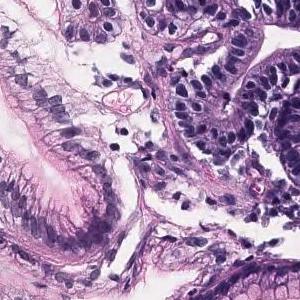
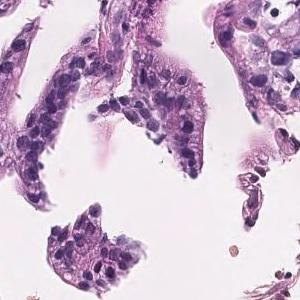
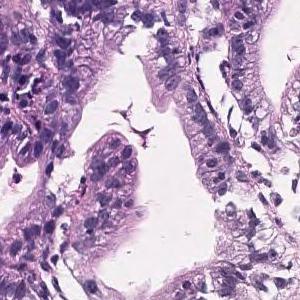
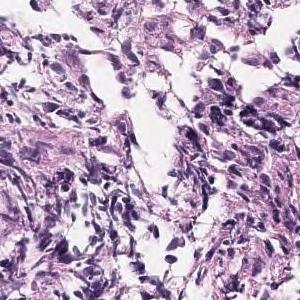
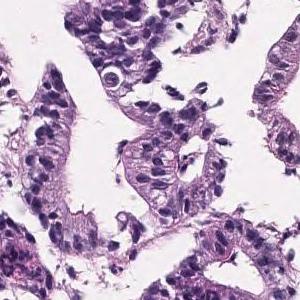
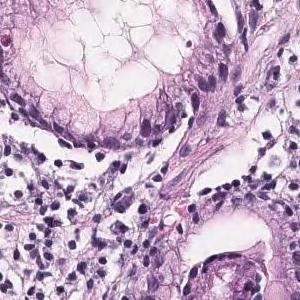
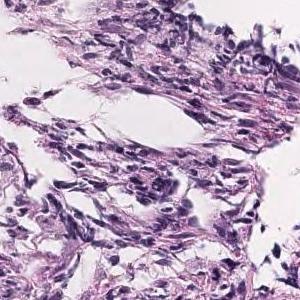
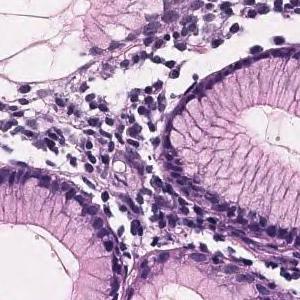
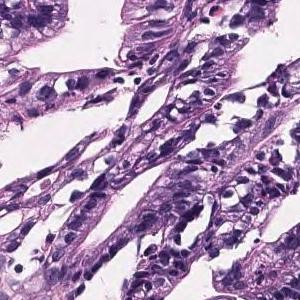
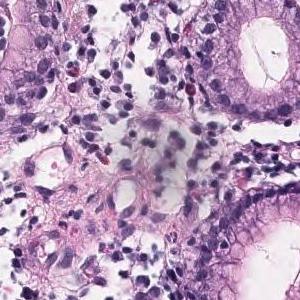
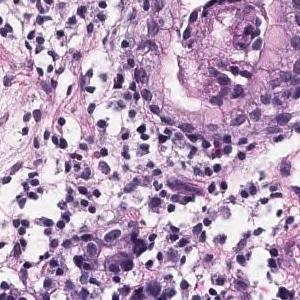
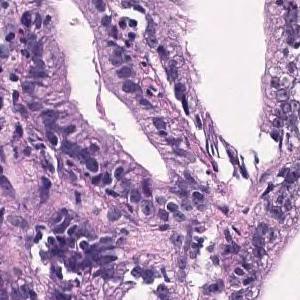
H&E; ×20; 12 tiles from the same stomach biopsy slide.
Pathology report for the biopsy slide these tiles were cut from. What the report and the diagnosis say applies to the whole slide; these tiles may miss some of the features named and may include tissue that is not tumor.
Tumor tissue in which highly columnar atypical epithelial cells with nuclear enlargement and increased nuclear chromatin show papillary to papillary ductal structure and proliferate is observed. Papillary adenocarcinoma.
